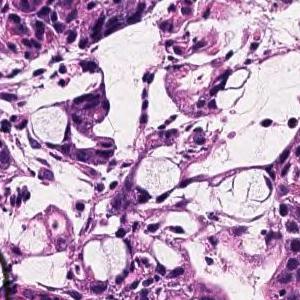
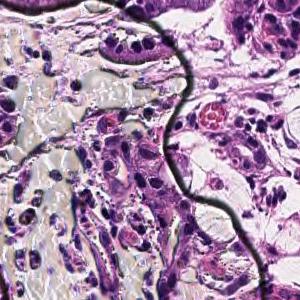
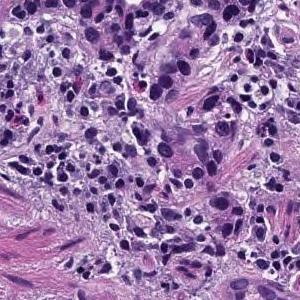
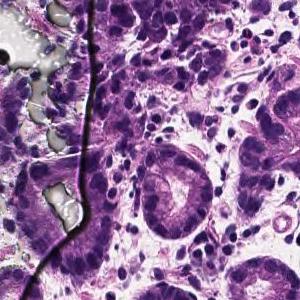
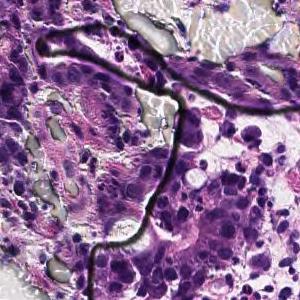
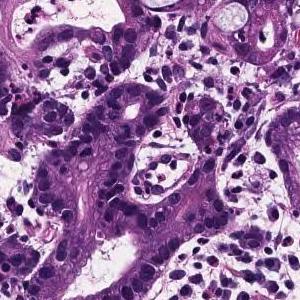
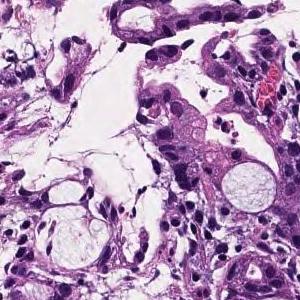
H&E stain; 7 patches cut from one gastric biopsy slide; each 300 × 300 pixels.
Report on the slide these tiles come from. The findings and the diagnosis refer to the entire slide; these tiles show only part of it, possibly with non-tumor tissue, and may not show every feature named.
In the superficial epithelium, tumor tissue is found in which medium-sized to small, irregular glandular ducts are partially fused and infiltrated. moderately differentiated tubular adenocarcinoma
